14 patches cut from one gastric biopsy slide; 20× magnification.
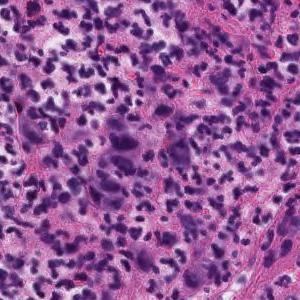
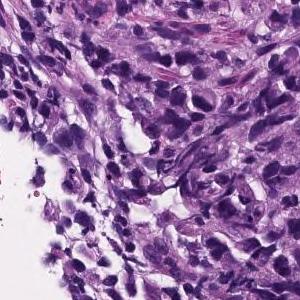
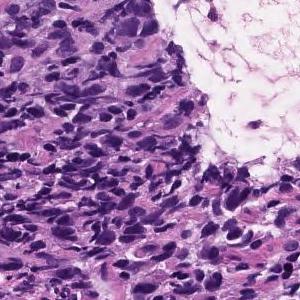
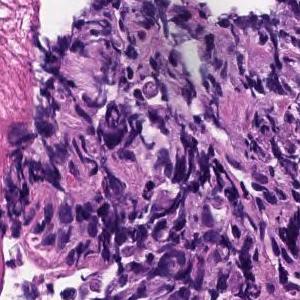
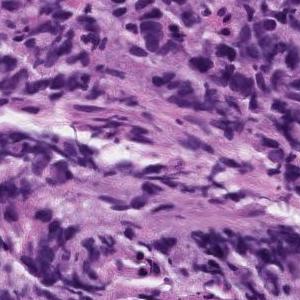
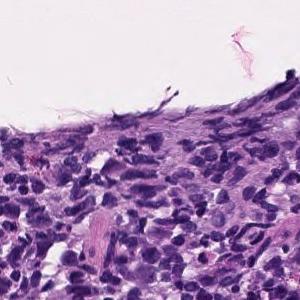
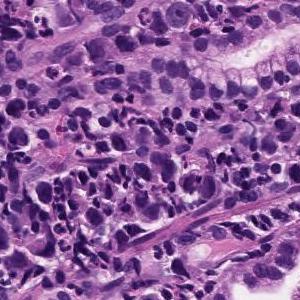
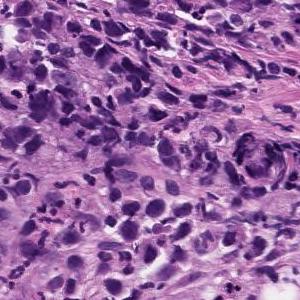
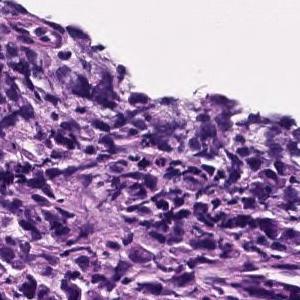
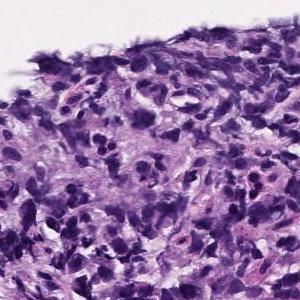
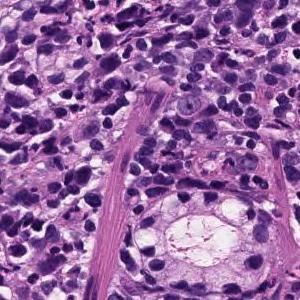
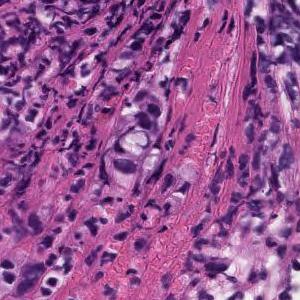
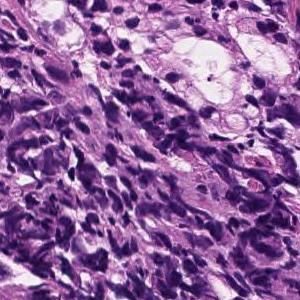
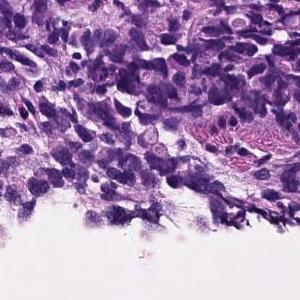
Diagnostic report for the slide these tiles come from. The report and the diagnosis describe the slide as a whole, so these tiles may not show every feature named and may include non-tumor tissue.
Poorly differentiated, solid adenocarcinoma (poorly differentiated adenocarcinoma, solid type) with tumor tissue diffusely infiltrated with atypical epithelial cells
Histological subtype: Poorly differentiated adenocarcinoma, solid type, a category of the Japanese Classification of Gastric Carcinoma; in the WHO 2019 classification it is tubular adenocarcinoma, poorly differentiated.
